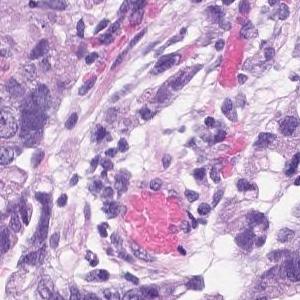
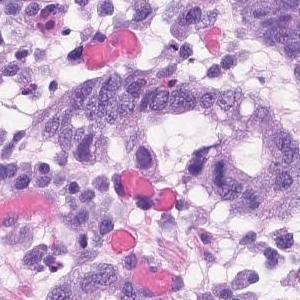
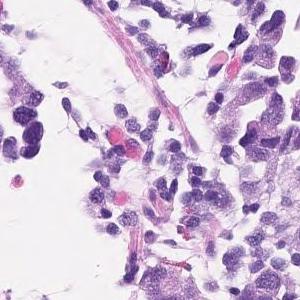
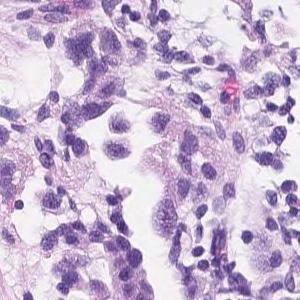
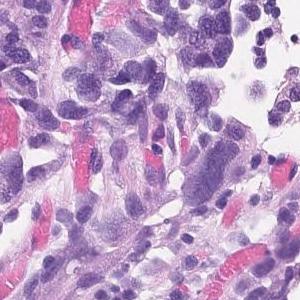
5 tiles from the same stomach biopsy slide; 300×300 px each; H&E.
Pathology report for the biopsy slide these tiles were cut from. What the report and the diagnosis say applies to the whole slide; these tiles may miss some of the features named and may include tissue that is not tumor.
Atypical l cells with atypical nuclei forming solid or diffuse vesicles or small irregular atypical ducts and growing in a complex manner. poorly differentiated adenocarcinoma, solid type, moderately differentiated tubular adenocarcinoma.
Histological subtypes: Poorly differentiated adenocarcinoma, solid type and moderately differentiated tubular adenocarcinoma.
The solid type named here is a Japanese Classification of Gastric Carcinoma category; WHO 2019 calls it tubular adenocarcinoma, poorly differentiated.
